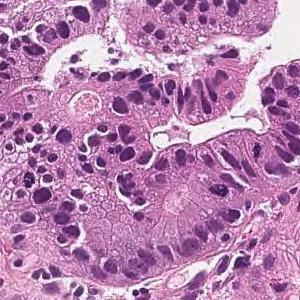
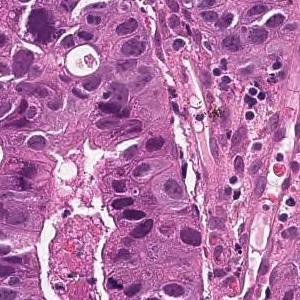
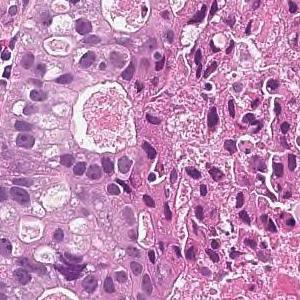
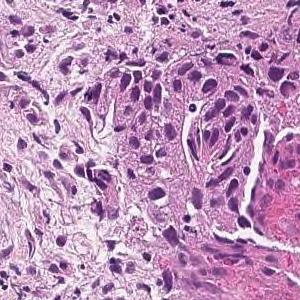
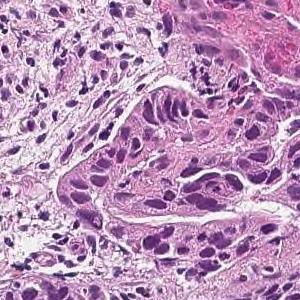
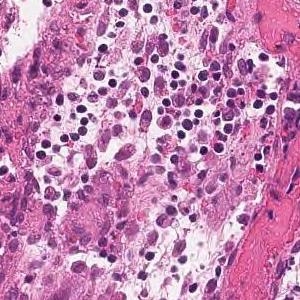
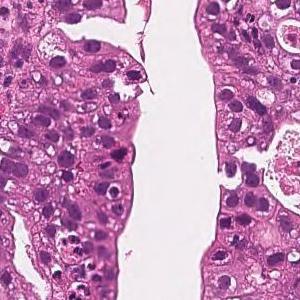
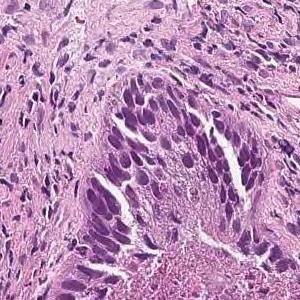
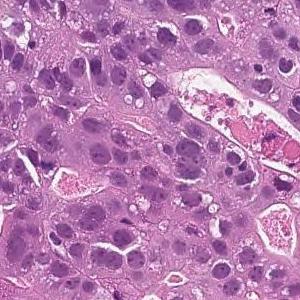
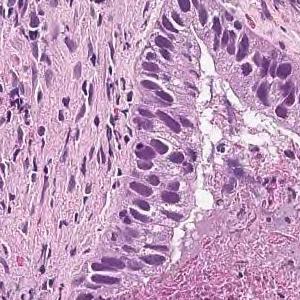
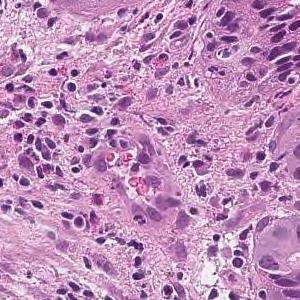
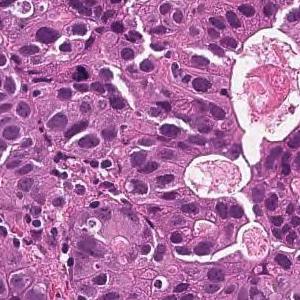
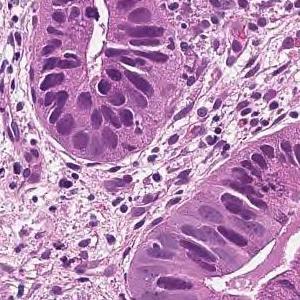
Scanned at ×20 · H&E · 13 patches cut from one gastric biopsy slide.
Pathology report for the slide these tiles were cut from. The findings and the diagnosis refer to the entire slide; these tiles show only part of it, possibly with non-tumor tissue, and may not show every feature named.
In the superficial epithelium, tumor tissue that invades by forming medium-sized to small, irregular ducts is observed. moderately differentiated tubular adenocarcinoma.
